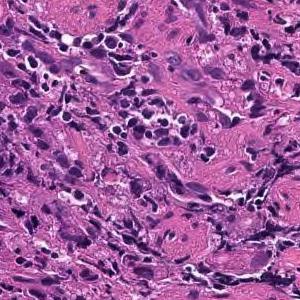
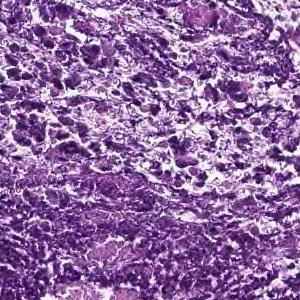
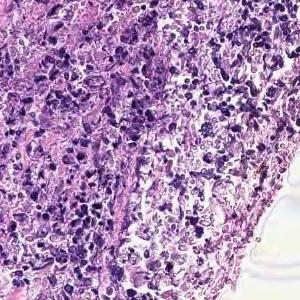
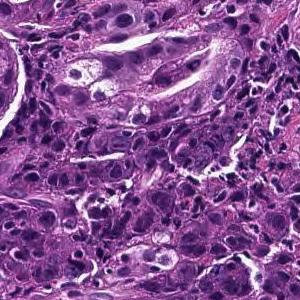
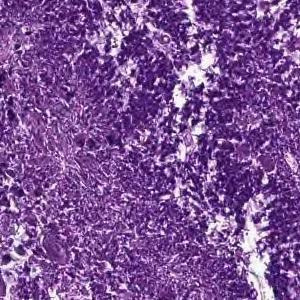
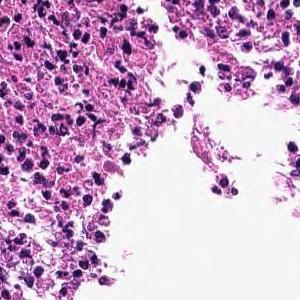
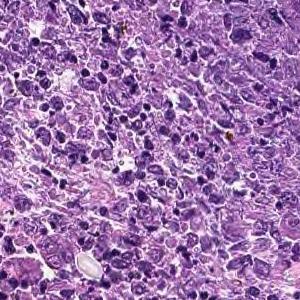
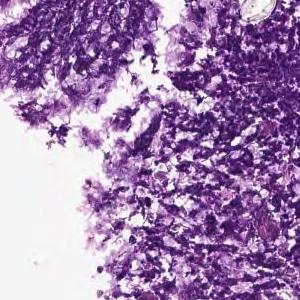
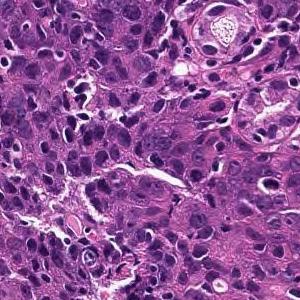
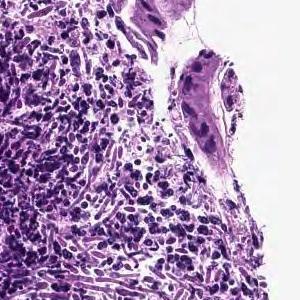
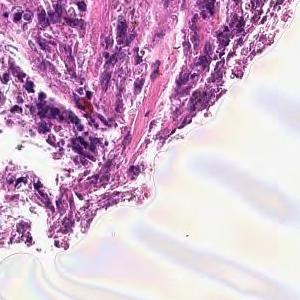
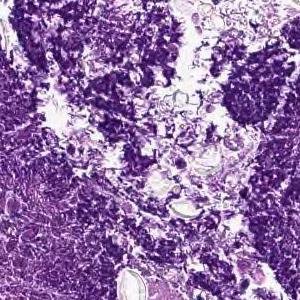
Scanned at ×20 · 12 tiles from the same stomach biopsy slide · 300 × 300 pixels each.
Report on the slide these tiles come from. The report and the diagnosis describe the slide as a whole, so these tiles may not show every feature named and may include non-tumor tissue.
Cancers with polygonal nuclei do not show glandular formation and are densely, in part, cord-like and proliferate. Poorly differentiated adenocarcinoma
Subtype: Poorly differentiated adenocarcinoma, non-solid type.
The term "non-solid type" comes from the Japanese Classification of Gastric Carcinoma.
